H&E stain; 20× magnification; 7 image tiles from a single gastric biopsy slide.
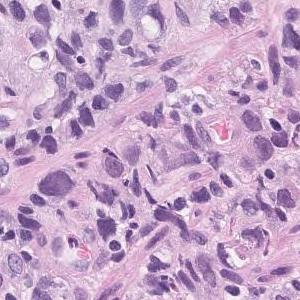
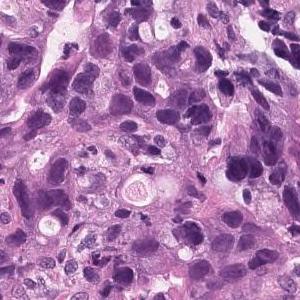
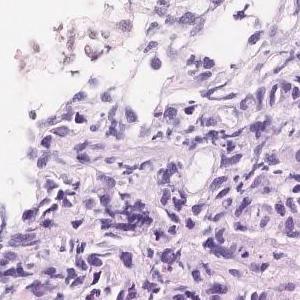
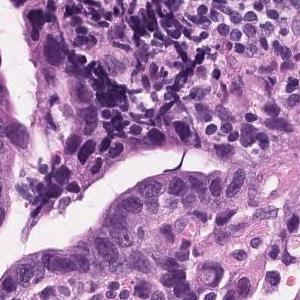
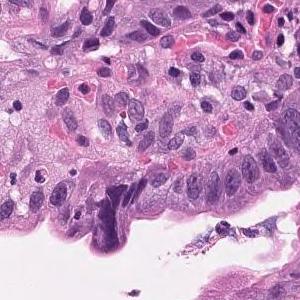
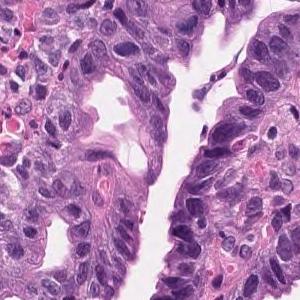
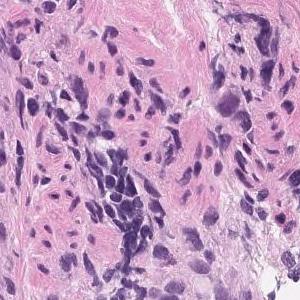
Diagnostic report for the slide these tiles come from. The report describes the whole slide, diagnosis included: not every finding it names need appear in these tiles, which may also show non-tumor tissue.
Tumor tissue consisting of medium-sized, cord-like or irregular glandular infiltration is observed in the superficial epithelium. Poorly differentiated adenocarcinoma, non-solid type or moderately differentiated tubular adenocarcinoma
Labeled in the dataset as poorly differentiated adenocarcinoma, non-solid type.
"Non-solid type" is a category of the Japanese Classification of Gastric Carcinoma.
